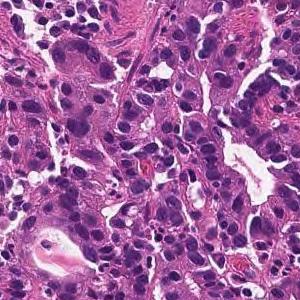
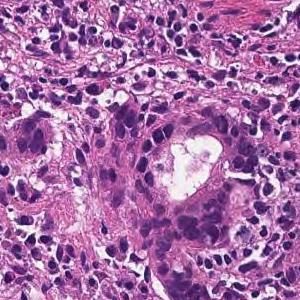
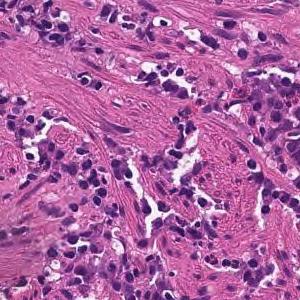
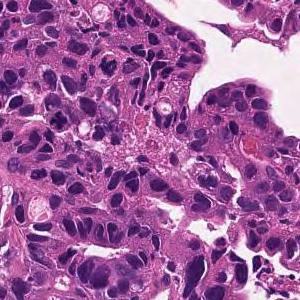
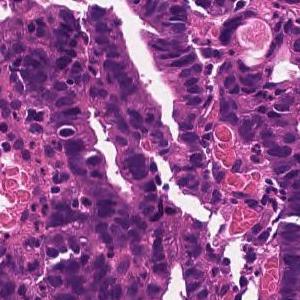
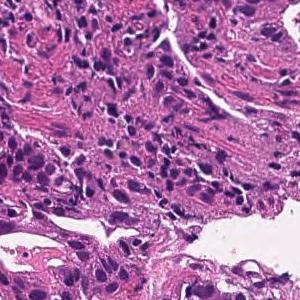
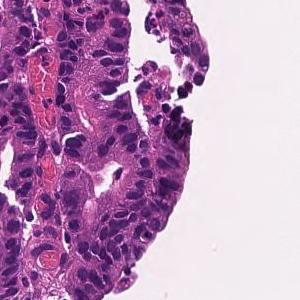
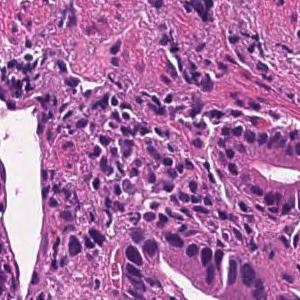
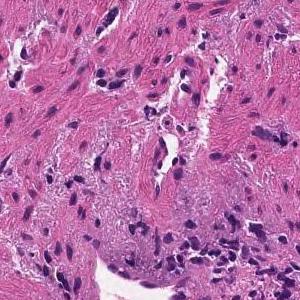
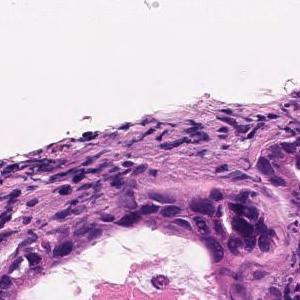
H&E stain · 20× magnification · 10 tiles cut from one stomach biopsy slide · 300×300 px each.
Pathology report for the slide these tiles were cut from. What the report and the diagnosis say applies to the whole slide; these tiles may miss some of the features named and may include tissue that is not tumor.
In the superficial epithelium, tumor tissue that invades by forming medium-sized to small, irregular ducts is observed. moderately differentiated tubular adenocarcinoma.
